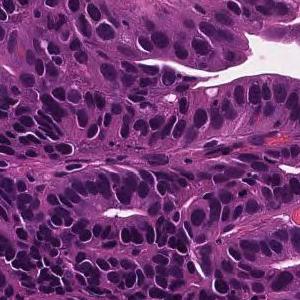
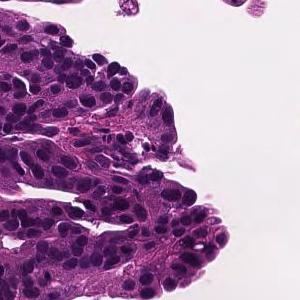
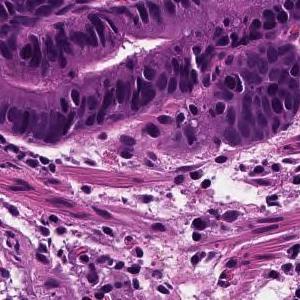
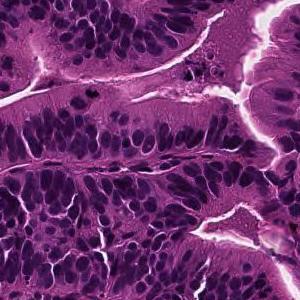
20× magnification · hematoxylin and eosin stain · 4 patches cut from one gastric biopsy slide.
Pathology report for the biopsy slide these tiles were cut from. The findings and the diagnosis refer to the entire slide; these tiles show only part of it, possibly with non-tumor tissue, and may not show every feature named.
From the superficial epithelium to the muscularis mucosae, tumor tissue consisting of medium-sized and irregular glandular ducts infiltrating is observed. Well differentiated tubular adenocarcinoma
